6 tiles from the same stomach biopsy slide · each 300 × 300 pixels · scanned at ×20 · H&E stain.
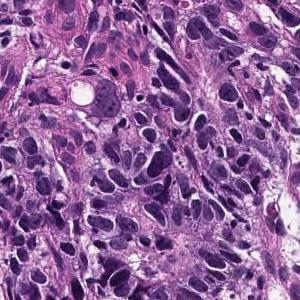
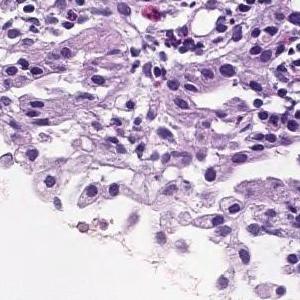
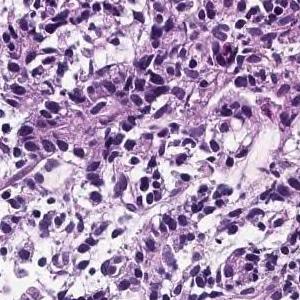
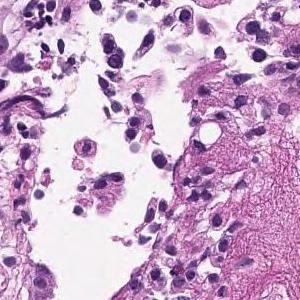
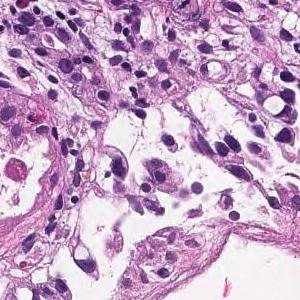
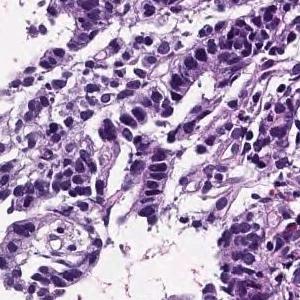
Diagnostic report for the slide these tiles come from. The findings and the diagnosis refer to the entire slide; these tiles show only part of it, possibly with non-tumor tissue, and may not show every feature named.
Tumor tissue consisting of cord-like or small, irregular glandular ducts fused and infiltrated is observed in the superficial epithelium. Poorly differentiated adenocarcinoma, non-solid type
The non-solid type named here is a Japanese Classification of Gastric Carcinoma category.
